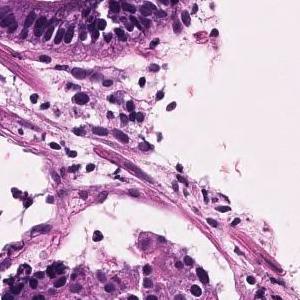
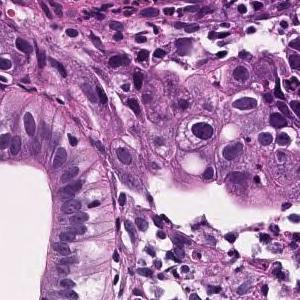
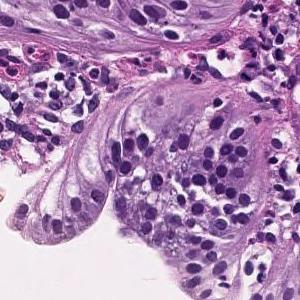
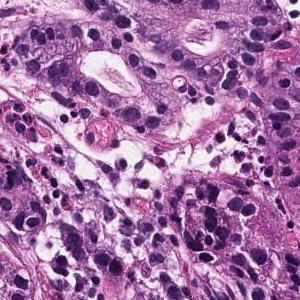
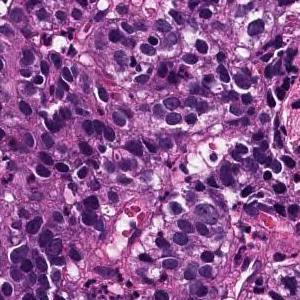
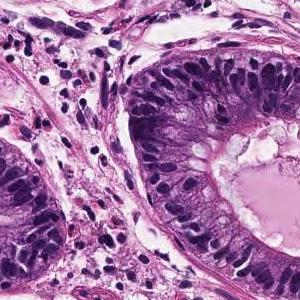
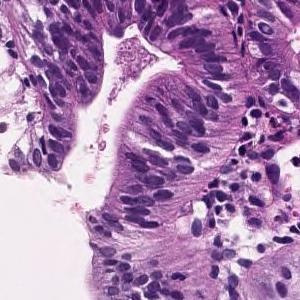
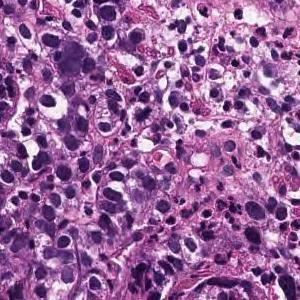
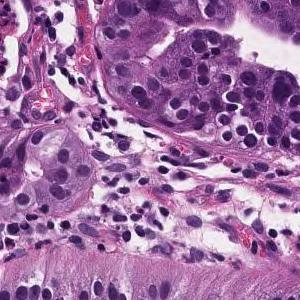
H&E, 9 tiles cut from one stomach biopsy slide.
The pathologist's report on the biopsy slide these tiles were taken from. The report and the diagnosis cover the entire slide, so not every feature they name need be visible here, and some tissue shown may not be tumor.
In the superficial epithelium, tumor tissue that invades by forming medium-sized to small, irregular ducts is observed. moderately differentiated tubular adenocarcinoma.
